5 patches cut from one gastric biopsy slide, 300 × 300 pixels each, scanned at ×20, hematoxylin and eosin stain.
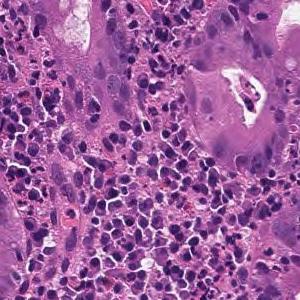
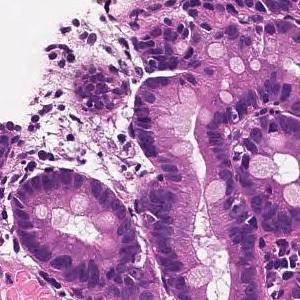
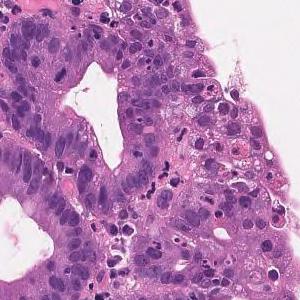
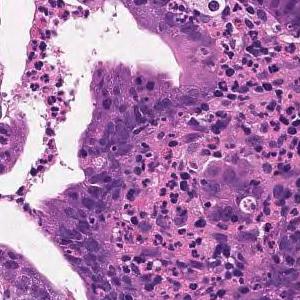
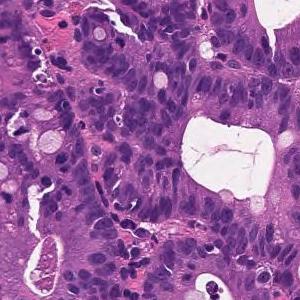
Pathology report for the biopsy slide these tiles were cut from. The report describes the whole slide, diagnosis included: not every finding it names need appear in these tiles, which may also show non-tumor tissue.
From the superficial epithelium to the muscularis mucosae, tumor tissue consisting of medium-sized and irregular glandular ducts infiltrating is observed. Well differentiated tubular adenocarcinoma
